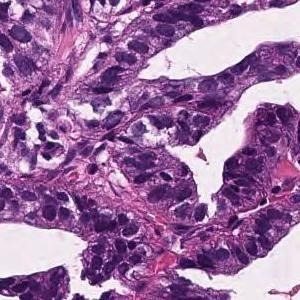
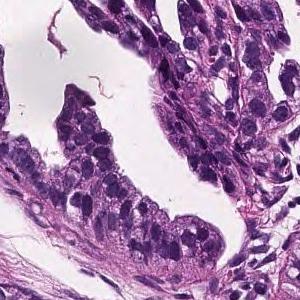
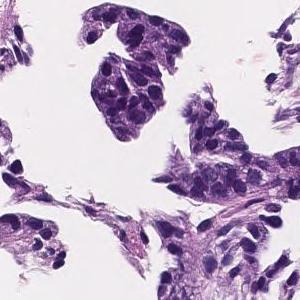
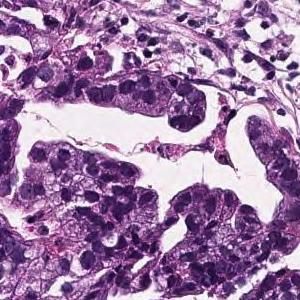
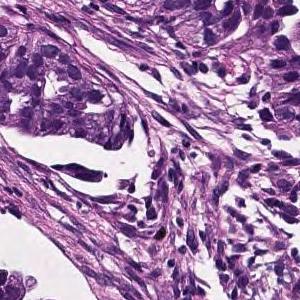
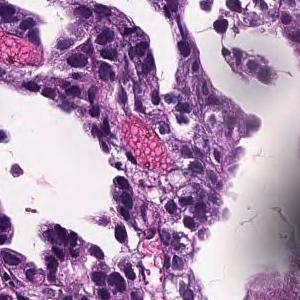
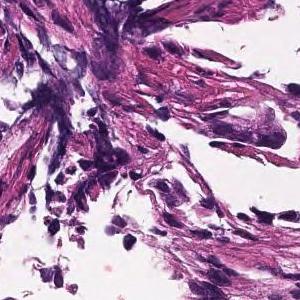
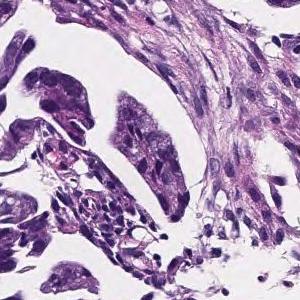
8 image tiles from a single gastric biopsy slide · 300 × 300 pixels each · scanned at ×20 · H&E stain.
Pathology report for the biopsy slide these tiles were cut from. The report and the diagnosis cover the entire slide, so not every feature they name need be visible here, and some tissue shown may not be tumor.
In the lamina propria, tumor tissue that invades by forming medium-sized to small, irregular glandular ducts is observed. moderately differentiated tubular adenocarcinoma
